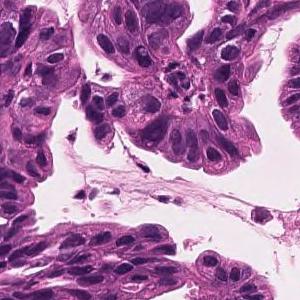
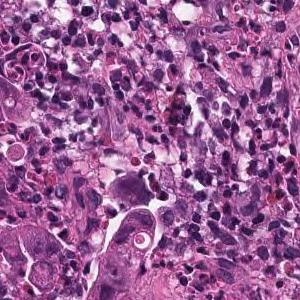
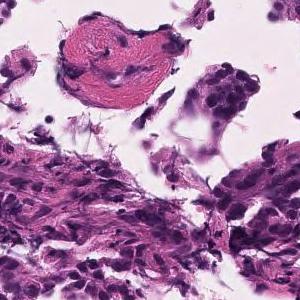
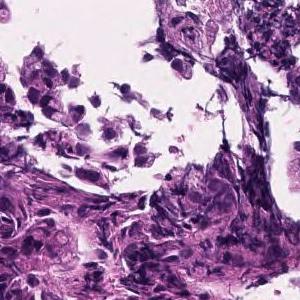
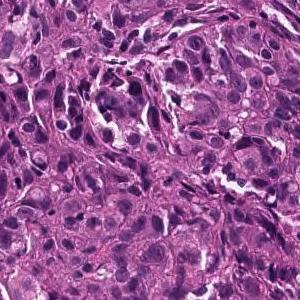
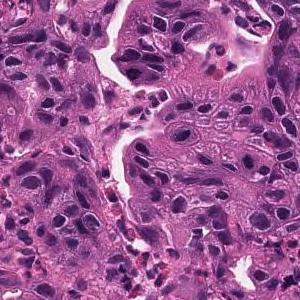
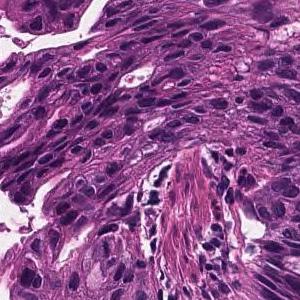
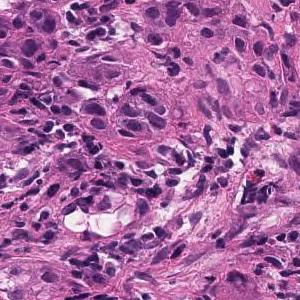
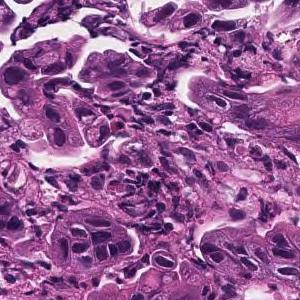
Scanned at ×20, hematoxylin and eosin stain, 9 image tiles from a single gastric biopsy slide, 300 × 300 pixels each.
Pathology report for the slide these tiles were cut from. Both the report and the diagnosis are for the whole slide: these tiles need not show every feature named, and some of the tissue shown may not be tumor.
Tumor tissue consisting of medium-sized, cord-like or irregular glandular infiltration is observed in the superficial epithelium. Poorly differentiated adenocarcinoma, non-solid type or moderately differentiated tubular adenocarcinoma
"Non-solid type" is a category of the Japanese Classification of Gastric Carcinoma.
